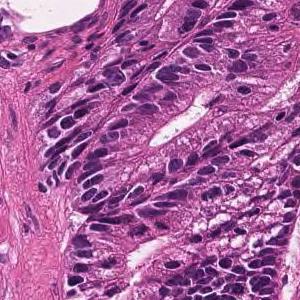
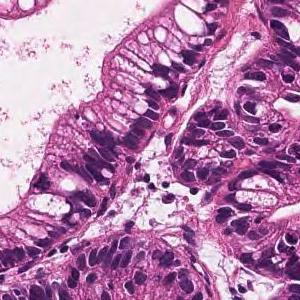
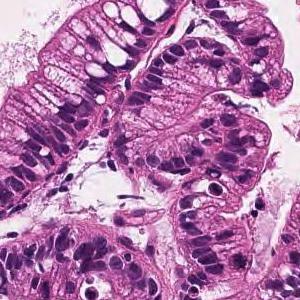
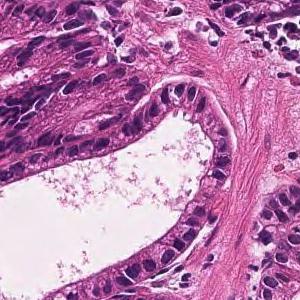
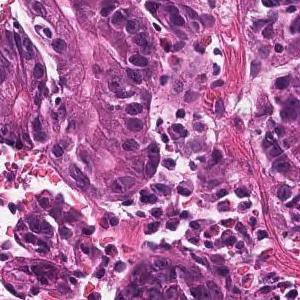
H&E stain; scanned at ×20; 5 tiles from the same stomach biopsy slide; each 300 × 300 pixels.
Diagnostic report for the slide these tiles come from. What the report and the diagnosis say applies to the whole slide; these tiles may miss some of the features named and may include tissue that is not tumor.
In the superficial epithelium, tumor tissue that invades by forming medium-sized to small, irregular ducts is observed. moderately differentiated tubular adenocarcinoma.
